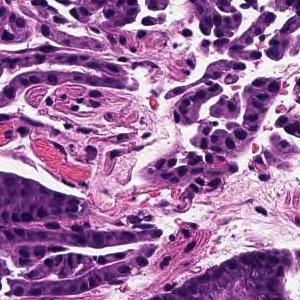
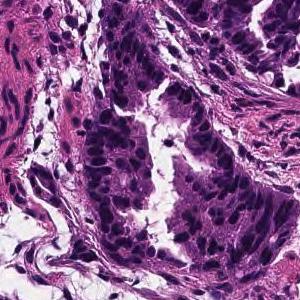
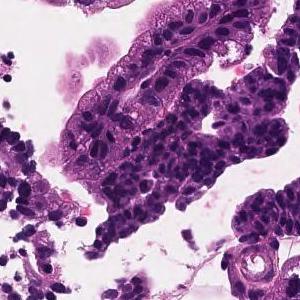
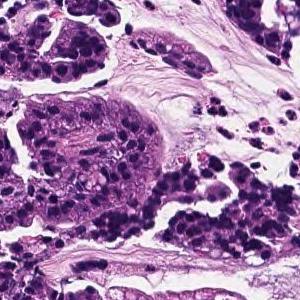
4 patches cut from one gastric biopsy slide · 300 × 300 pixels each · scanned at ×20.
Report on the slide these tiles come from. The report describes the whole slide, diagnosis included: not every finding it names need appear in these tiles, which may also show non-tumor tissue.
On the superficial epithelium, tumor tissue that infiltrates by forming medium-sized papillary or small irregular ducts is observed. Papillary adenocarcinoma
